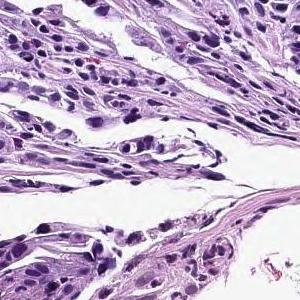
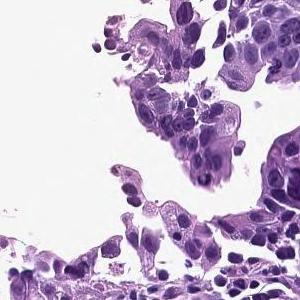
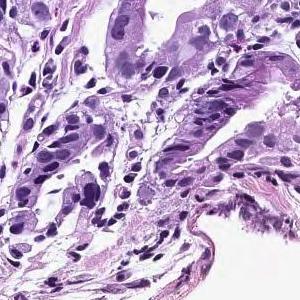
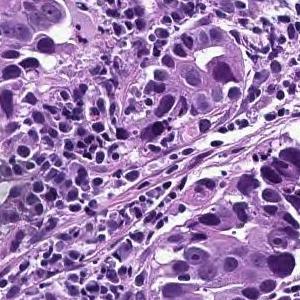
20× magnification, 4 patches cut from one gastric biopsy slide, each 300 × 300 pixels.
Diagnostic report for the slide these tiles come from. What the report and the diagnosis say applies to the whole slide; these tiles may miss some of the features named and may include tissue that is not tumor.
In the superficial epithelium, tumor tissue that invades by forming medium-sized to small, irregular ducts is observed. moderately differentiated tubular adenocarcinoma.
